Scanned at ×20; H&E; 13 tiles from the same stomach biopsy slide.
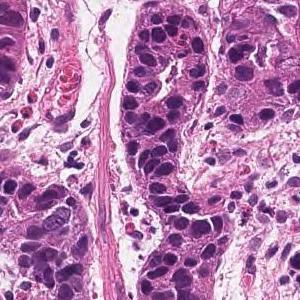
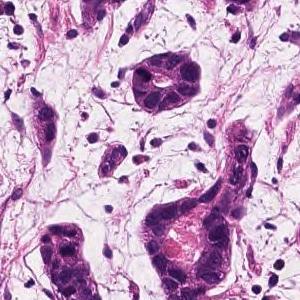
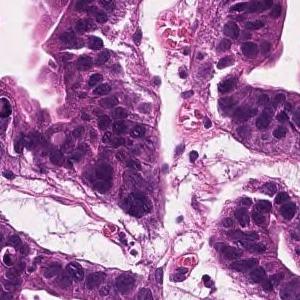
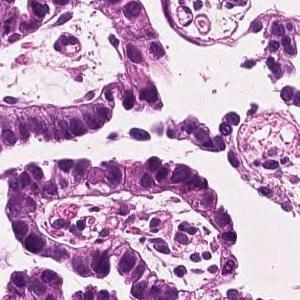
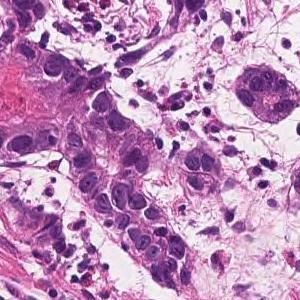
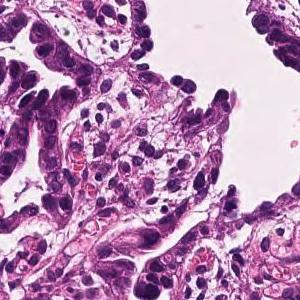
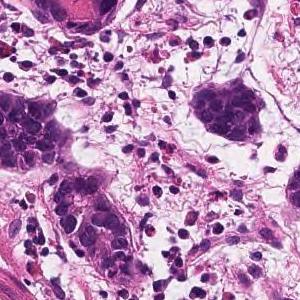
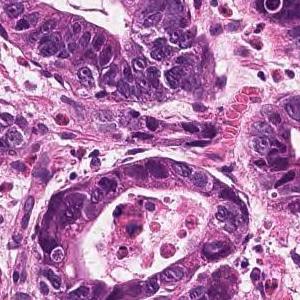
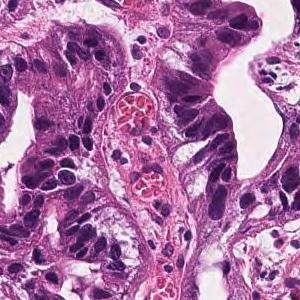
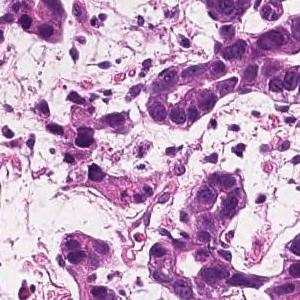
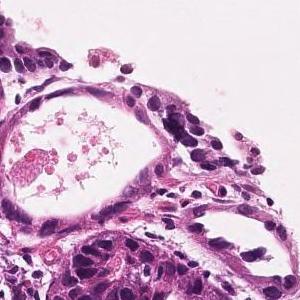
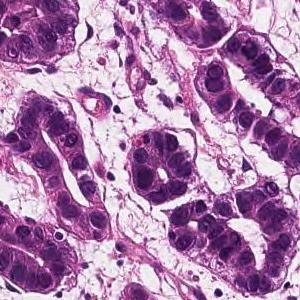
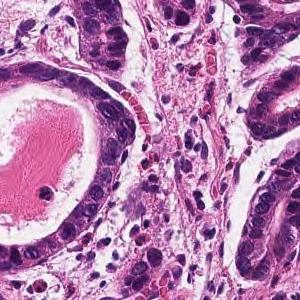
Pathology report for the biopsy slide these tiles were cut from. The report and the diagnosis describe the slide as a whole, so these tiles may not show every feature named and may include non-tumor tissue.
In the superficial epithelium, tumor tissue that invades by forming medium-sized to small, irregular ducts is observed. Well differentiated tubular adenocarcinoma.
